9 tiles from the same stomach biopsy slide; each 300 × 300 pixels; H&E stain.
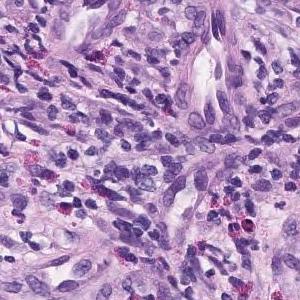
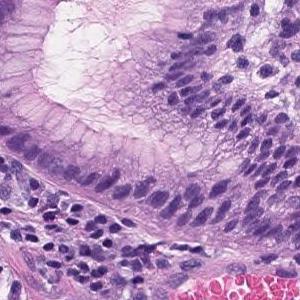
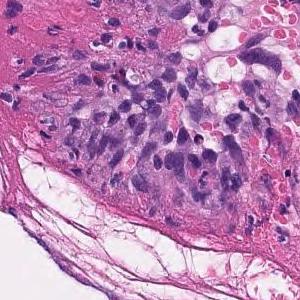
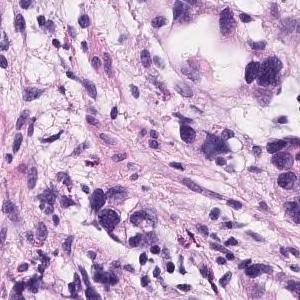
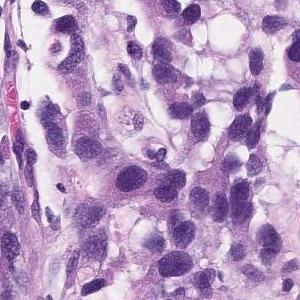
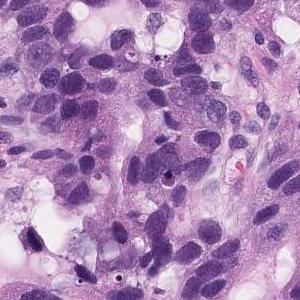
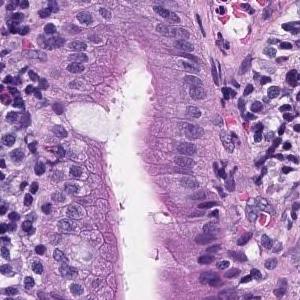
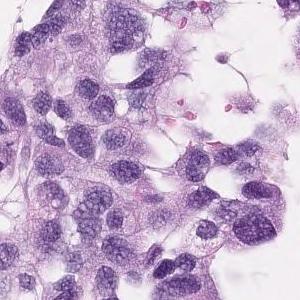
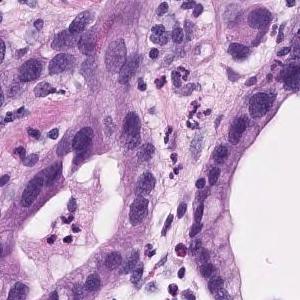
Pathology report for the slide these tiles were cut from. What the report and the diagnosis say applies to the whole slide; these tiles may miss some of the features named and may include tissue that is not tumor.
Group 5, Adenocarcinoma. Moderately to poorly differentiated adenocarcinoma
